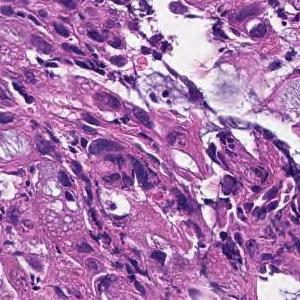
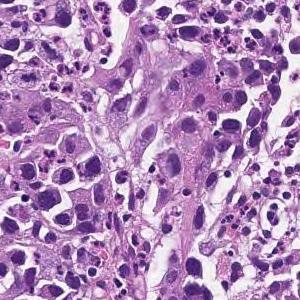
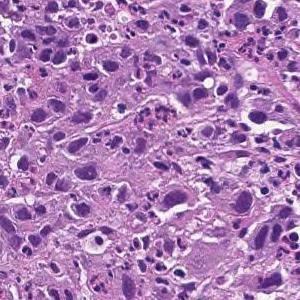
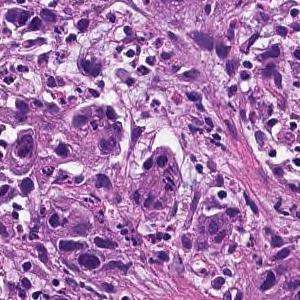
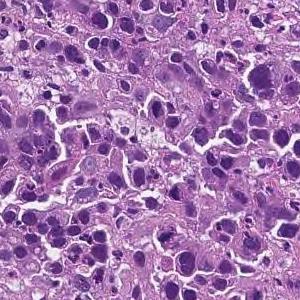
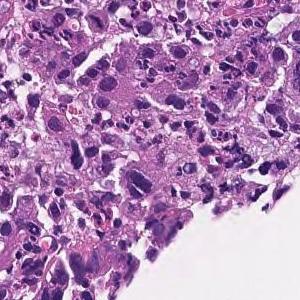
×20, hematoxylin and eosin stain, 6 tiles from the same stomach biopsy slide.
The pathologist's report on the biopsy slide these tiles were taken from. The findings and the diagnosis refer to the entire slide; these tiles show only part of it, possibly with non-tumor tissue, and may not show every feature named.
The superficial epithelium shows a large sheet-like shape, and some tumor tissue infiltrates with small irregular ducts. Poorly differentiated adenocarcinoma, solid-type
Classified as poorly differentiated adenocarcinoma, solid type. This name comes from the Japanese Classification of Gastric Carcinoma; the WHO 2019 classification calls it tubular adenocarcinoma, poorly differentiated.
